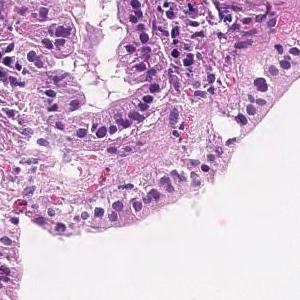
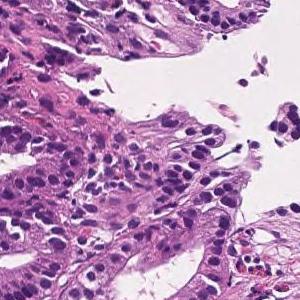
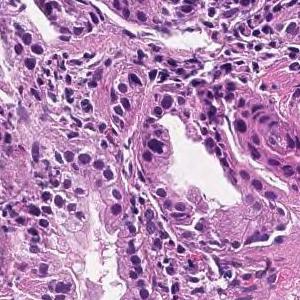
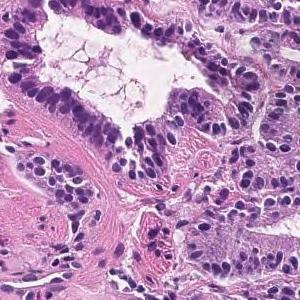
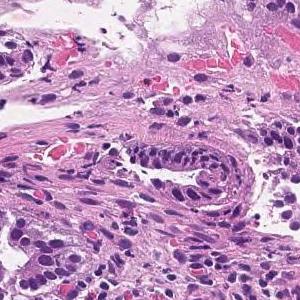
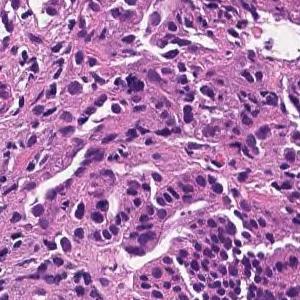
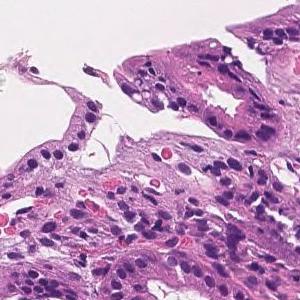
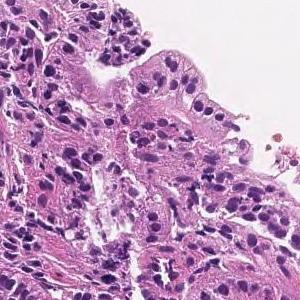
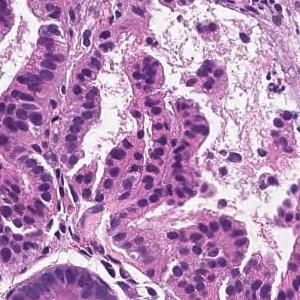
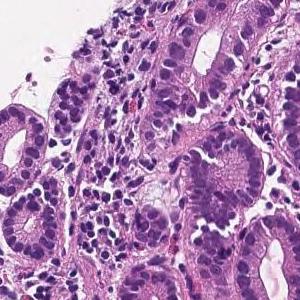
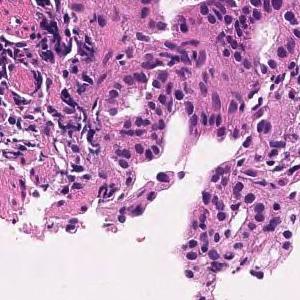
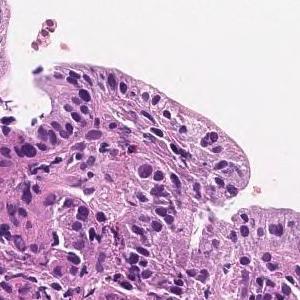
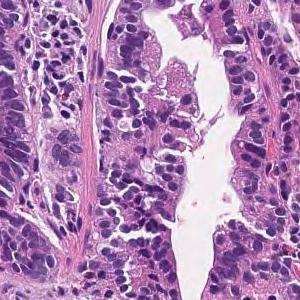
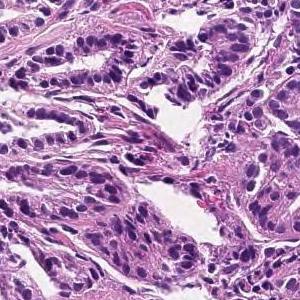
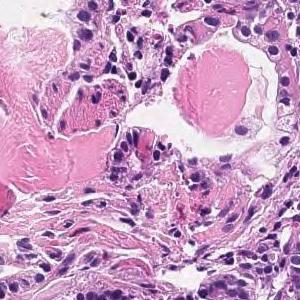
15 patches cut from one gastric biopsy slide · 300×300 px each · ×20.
Pathology report for the biopsy slide these tiles were cut from. Both the report and the diagnosis are for the whole slide: these tiles need not show every feature named, and some of the tissue shown may not be tumor.
On the superficial epithelium, tumor tissue that infiltrates by forming medium-sized papillary or small irregular ducts is observed. Papillary adenocarcinoma (Papillary adenocarcinoma)
Tumor subtype: papillary adenocarcinoma.
